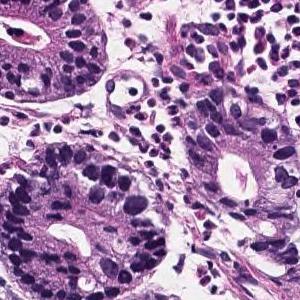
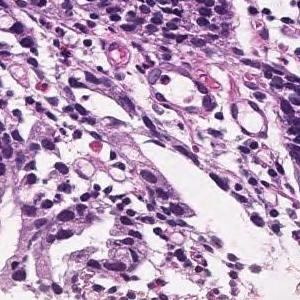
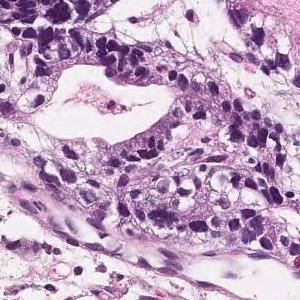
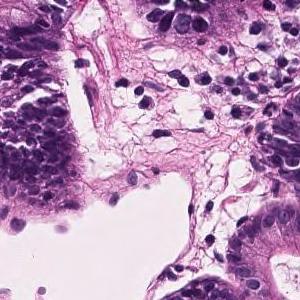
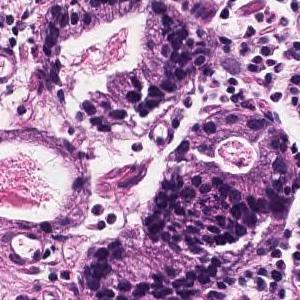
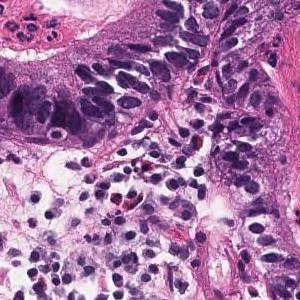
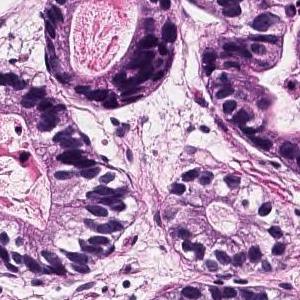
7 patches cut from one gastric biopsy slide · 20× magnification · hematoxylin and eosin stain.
Diagnostic report for the slide these tiles come from. The findings and the diagnosis refer to the entire slide; these tiles show only part of it, possibly with non-tumor tissue, and may not show every feature named.
Tumor tissue consisting of medium-sized and irregular ducts is observed infiltrating in the superficial epithelium. Tumor cells are highly columnar, with nuclei aligned basolaterally and polarized. Well differentiated tubular adenocarcinoma.
